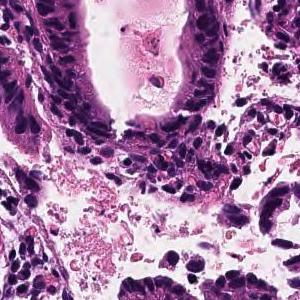
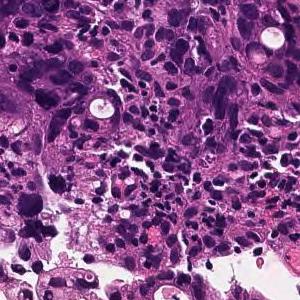
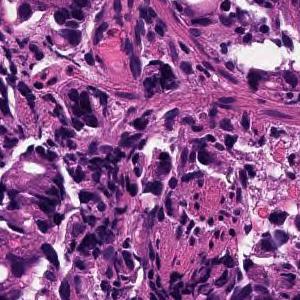
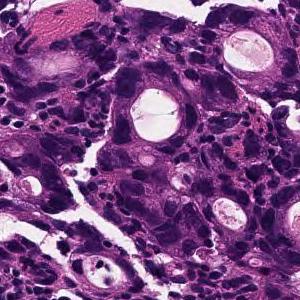
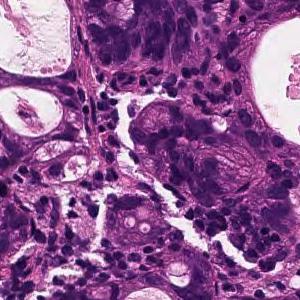
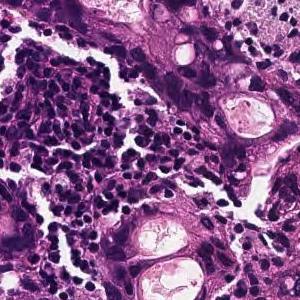
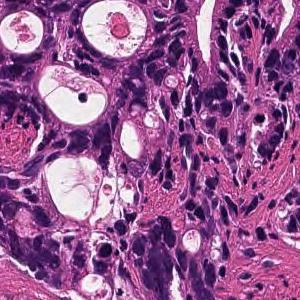
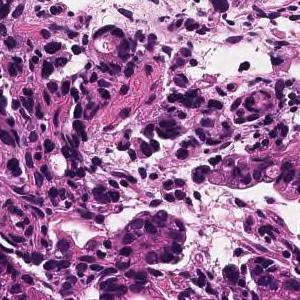
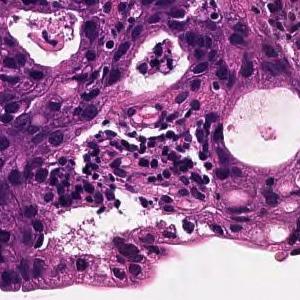
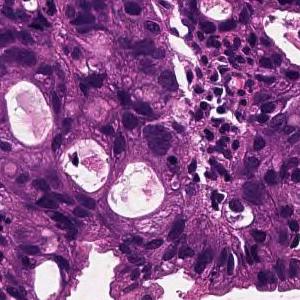
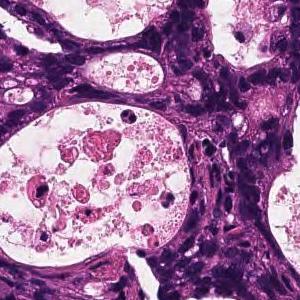
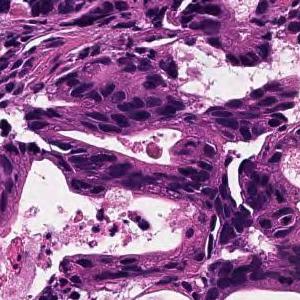
H&E, 12 tiles cut from one stomach biopsy slide, each 300 × 300 pixels.
Diagnostic report for the slide these tiles come from. The report and the diagnosis describe the slide as a whole, so these tiles may not show every feature named and may include non-tumor tissue.
In the superficial epithelium, tumor tissue that invades by forming medium-sized to small, irregular ducts is observed. moderately differentiated tubular adenocarcinoma.
